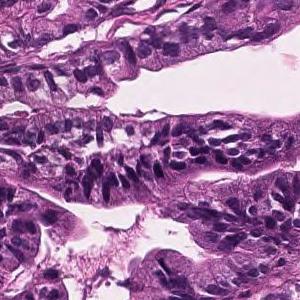
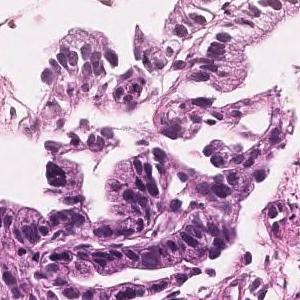
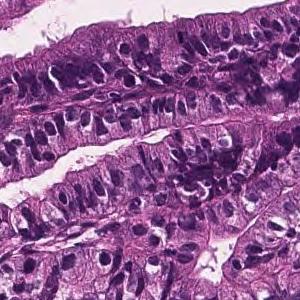
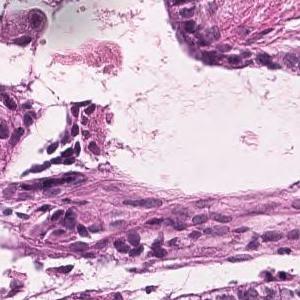
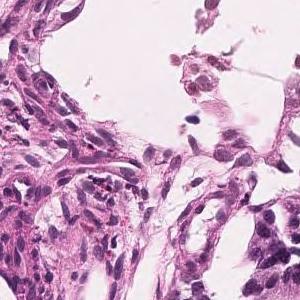
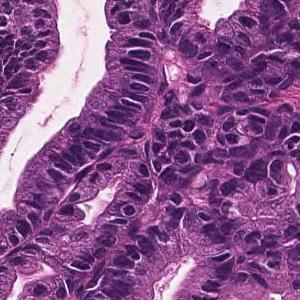
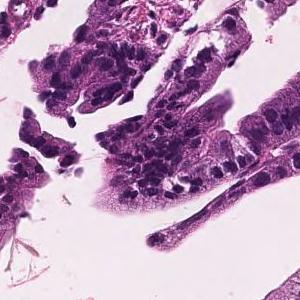
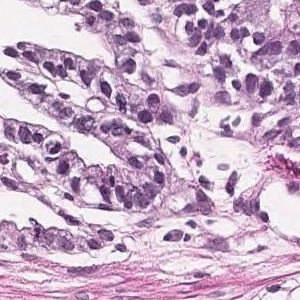
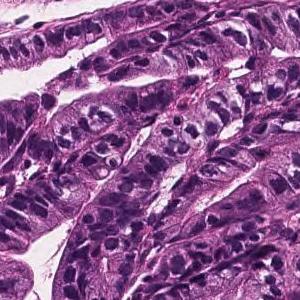
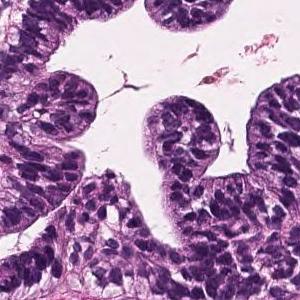
H&E stain, ×20, 10 patches cut from one gastric biopsy slide, 300 × 300 pixels each.
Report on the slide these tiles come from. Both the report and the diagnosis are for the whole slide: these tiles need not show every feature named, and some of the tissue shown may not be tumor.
Tumor cells are large, highly columnar, large club-shaped nuclei, and are associated with chromatin aggregation. Papillary adenocarcinoma.
